4 patches cut from one gastric biopsy slide, each 300 × 300 pixels.
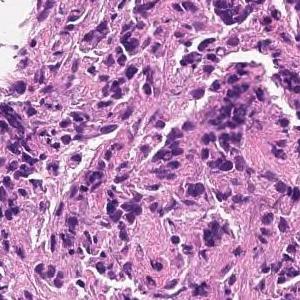
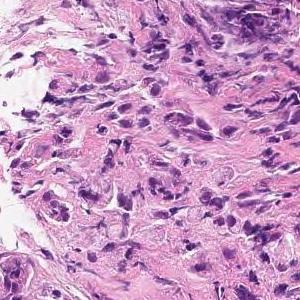
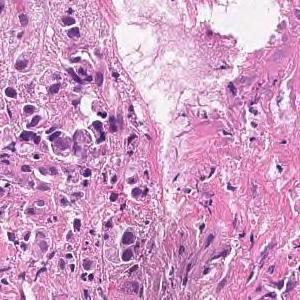
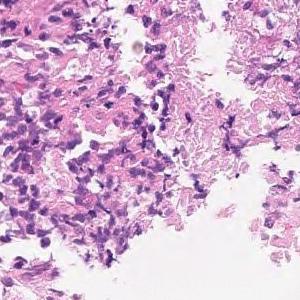
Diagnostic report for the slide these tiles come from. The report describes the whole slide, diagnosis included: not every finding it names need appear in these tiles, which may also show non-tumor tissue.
Tumor tissue consisting of cord-like or small, irregular glandular ducts fused and infiltrated is observed in the superficial epithelium. Poorly differentiated adenocarcinoma, non-solid type
The non-solid type named here is a Japanese Classification of Gastric Carcinoma category.
